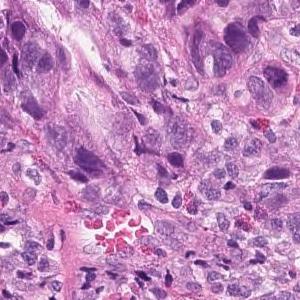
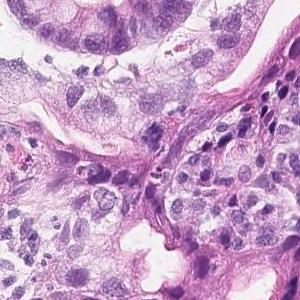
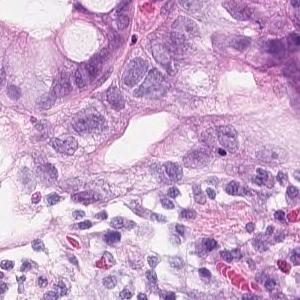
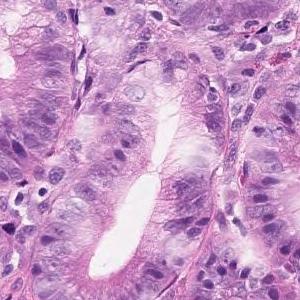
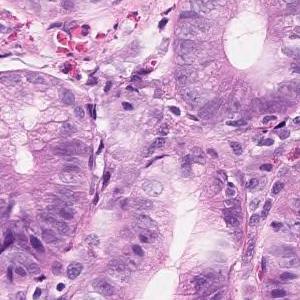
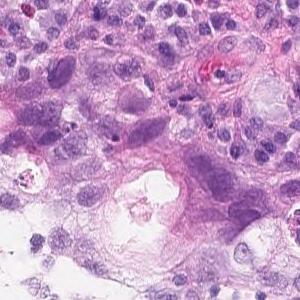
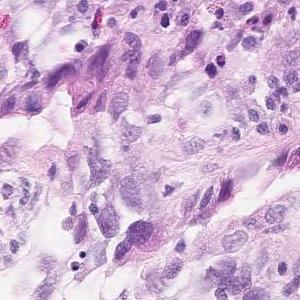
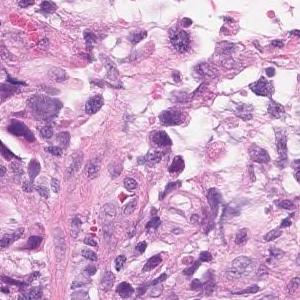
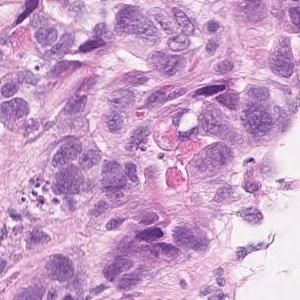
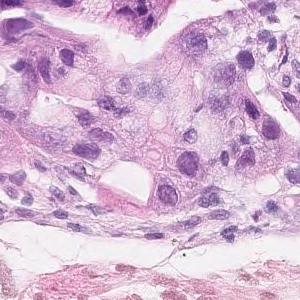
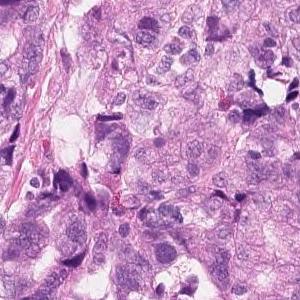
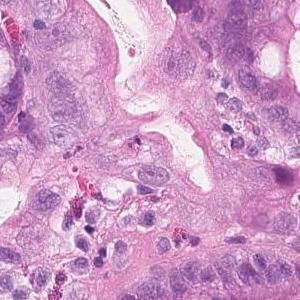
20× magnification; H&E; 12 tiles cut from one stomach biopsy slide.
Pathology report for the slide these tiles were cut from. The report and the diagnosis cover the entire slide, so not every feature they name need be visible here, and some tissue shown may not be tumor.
Tumor tissue showing dense, fused or diffuse, and infiltrative growth of small atypical ducts is observed. moderately differentiated tubular adenocarcinoma
